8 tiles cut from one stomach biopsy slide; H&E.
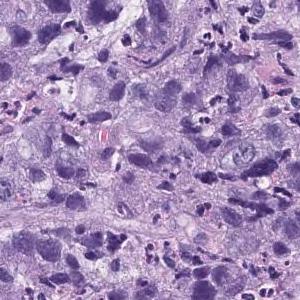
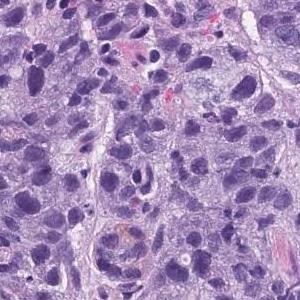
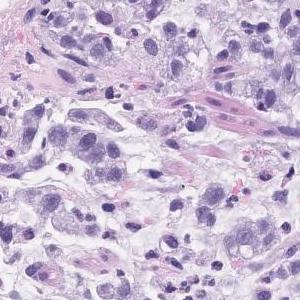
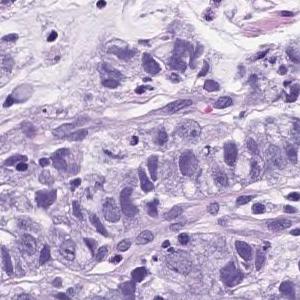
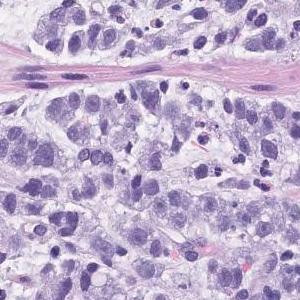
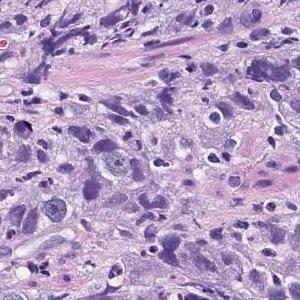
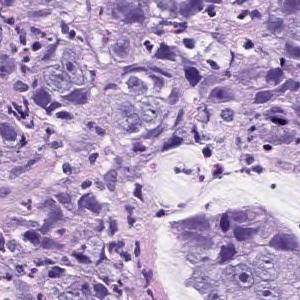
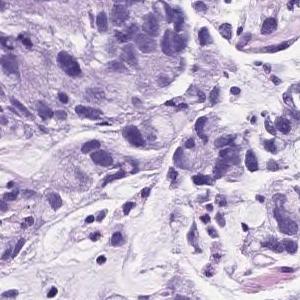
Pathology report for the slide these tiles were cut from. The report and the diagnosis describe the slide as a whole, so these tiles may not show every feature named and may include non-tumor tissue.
Atypical l cells with atypical nuclei forming solid vesicles or small irregular atypical ducts that proliferate in a complex manner. poorly differentiated adenocarcinoma, solid type, moderately differentiated tubular adenocarcinoma
The solid type named here is a Japanese Classification of Gastric Carcinoma category; WHO 2019 calls it tubular adenocarcinoma, poorly differentiated.
